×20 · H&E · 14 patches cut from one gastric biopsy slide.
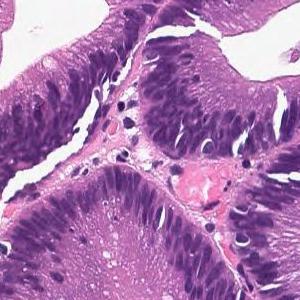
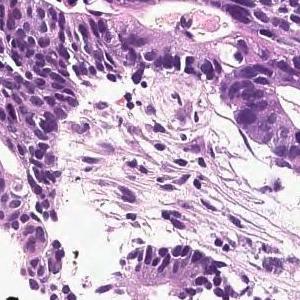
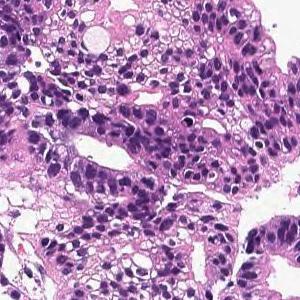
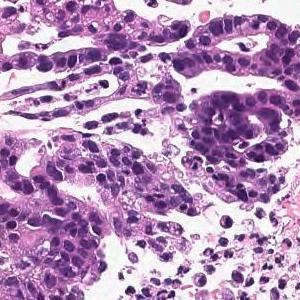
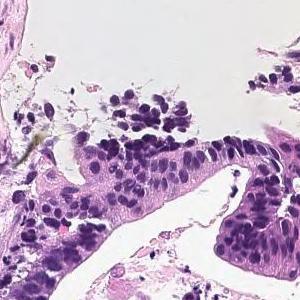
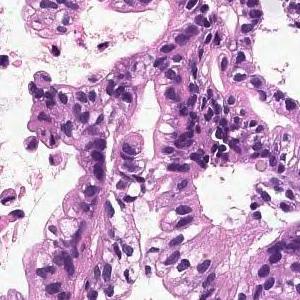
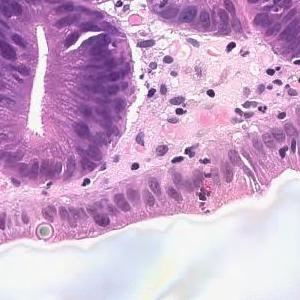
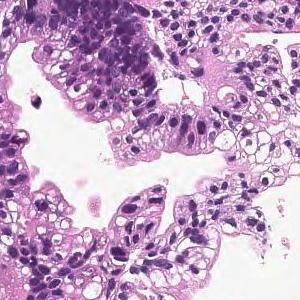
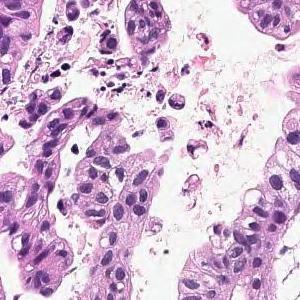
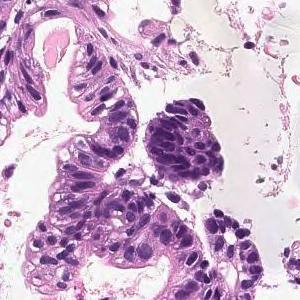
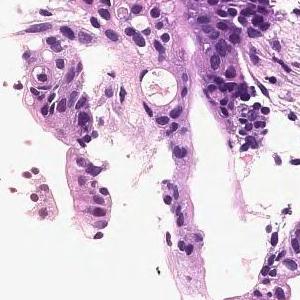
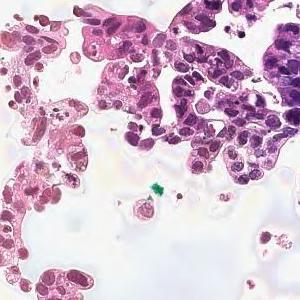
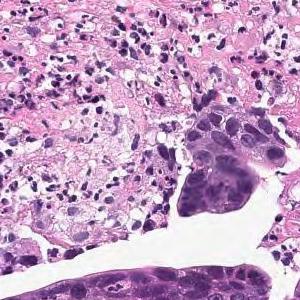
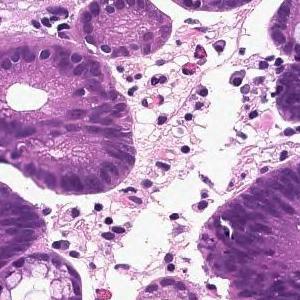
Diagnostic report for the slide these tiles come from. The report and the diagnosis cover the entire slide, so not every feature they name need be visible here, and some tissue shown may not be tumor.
In the superficial epithelium, tumor tissue that invades by forming medium-sized to small, irregular ducts is observed. moderately differentiated tubular adenocarcinoma.
